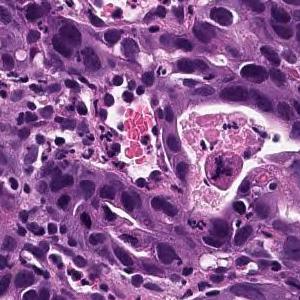
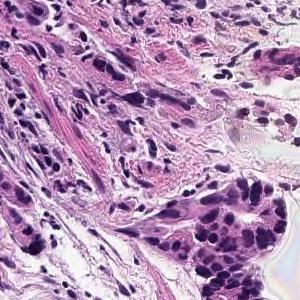
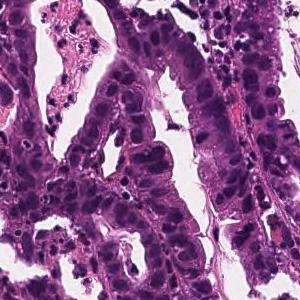
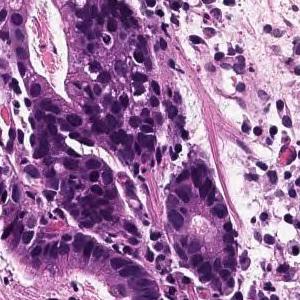
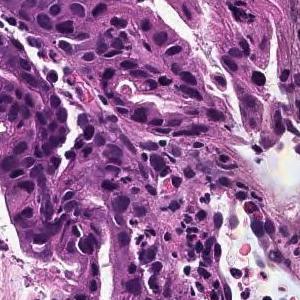
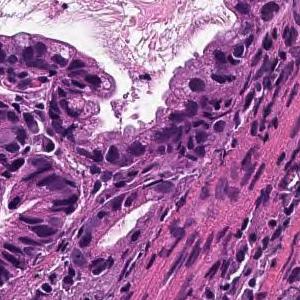
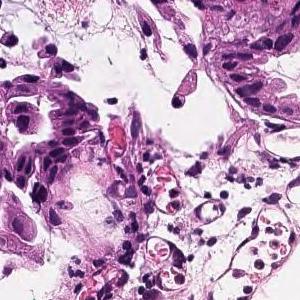
H&E stain, scanned at ×20, 7 tiles from the same stomach biopsy slide.
Diagnostic report for the slide these tiles come from. The report describes the whole slide, diagnosis included: not every finding it names need appear in these tiles, which may also show non-tumor tissue.
Tumor cells are large, highly columnar, large club-shaped nuclei, and are associated with chromatin aggregation. Papillary adenocarcinoma.
